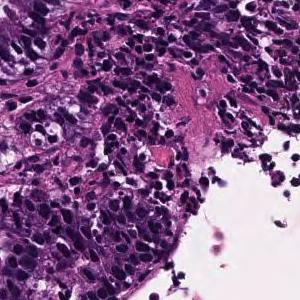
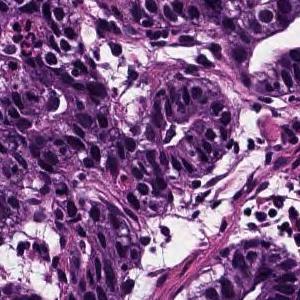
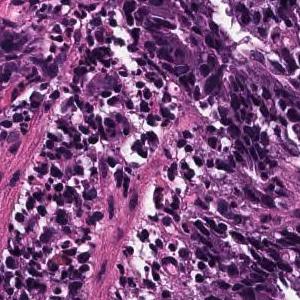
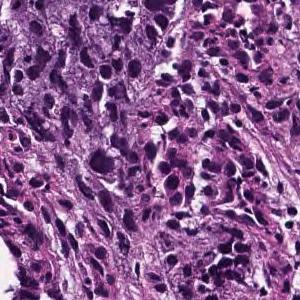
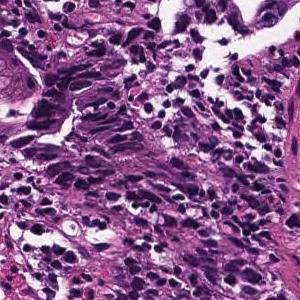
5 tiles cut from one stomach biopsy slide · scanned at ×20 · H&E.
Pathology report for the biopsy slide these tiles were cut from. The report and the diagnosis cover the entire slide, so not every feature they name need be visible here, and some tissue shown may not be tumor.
Atypical l cells with atypical nuclei forming diffuse or small irregular atypical ducts and growing. Moderately to poorly differentiated adenocarcinoma (poorly differentiated adenocarcinoma, solid type moderately differentiated tubular adenocarcinoma)
Subtype: Moderately to poorly differentiated adenocarcinoma.
The term "solid type" comes from the Japanese Classification of Gastric Carcinoma; the WHO 2019 equivalent is tubular adenocarcinoma, poorly differentiated.
